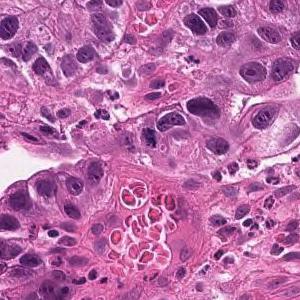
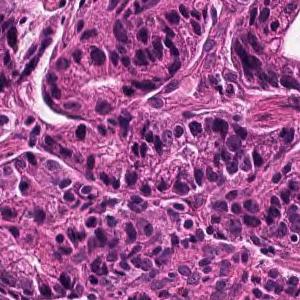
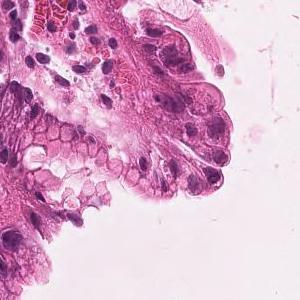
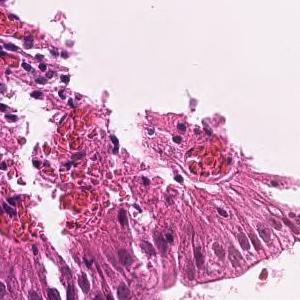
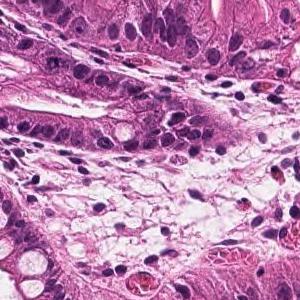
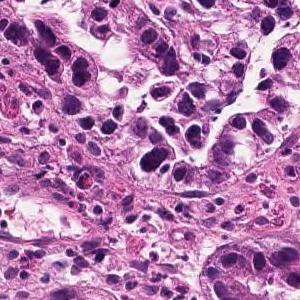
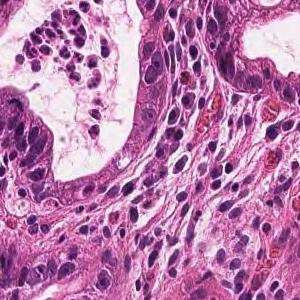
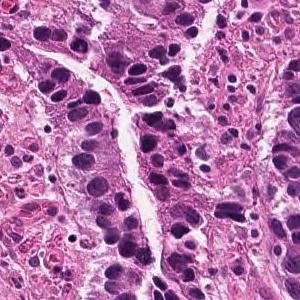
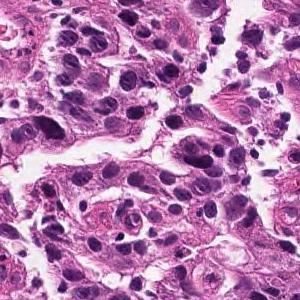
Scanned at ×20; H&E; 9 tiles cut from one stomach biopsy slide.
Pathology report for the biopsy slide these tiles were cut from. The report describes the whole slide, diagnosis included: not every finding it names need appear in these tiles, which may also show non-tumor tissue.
Tumor tissue consisting of medium-sized, cord-like or irregular glandular infiltration is observed in the superficial epithelium. Poorly differentiated adenocarcinoma, non-solid type or moderately differentiated tubular adenocarcinoma
Histological subtype: Moderately to poorly differentiated adenocarcinoma.
The non-solid type named here is a Japanese Classification of Gastric Carcinoma category.
